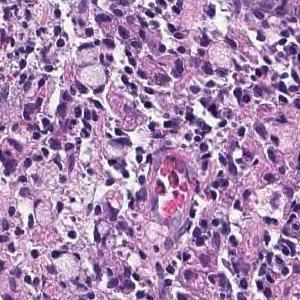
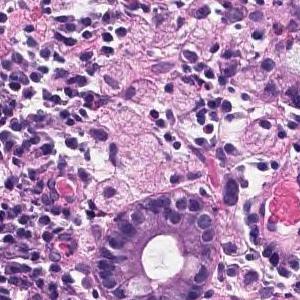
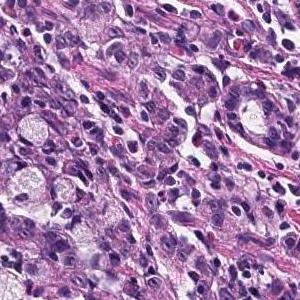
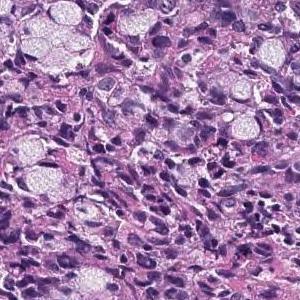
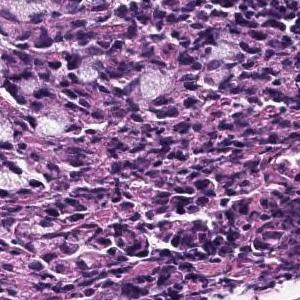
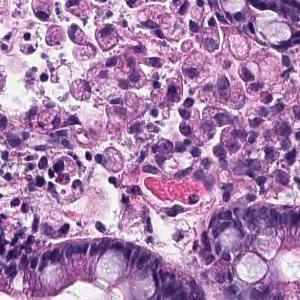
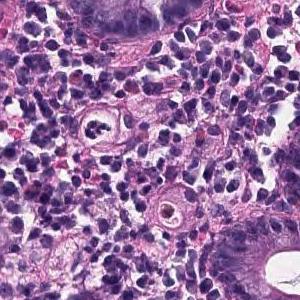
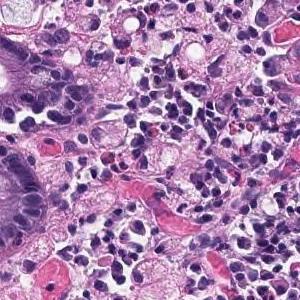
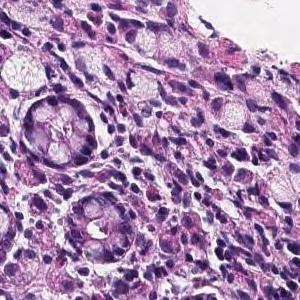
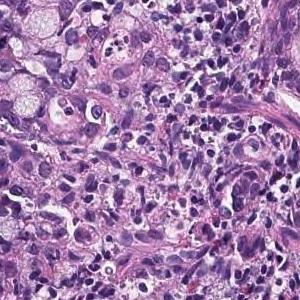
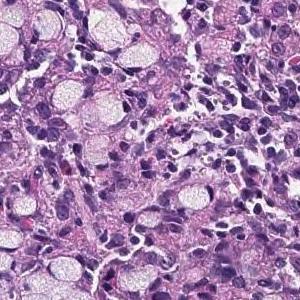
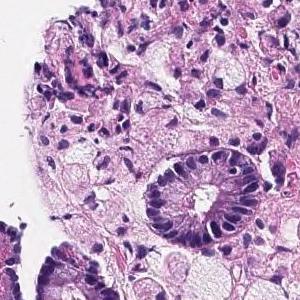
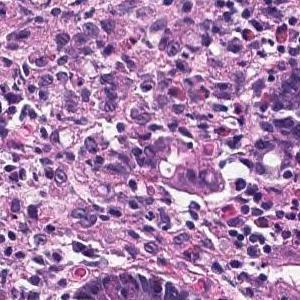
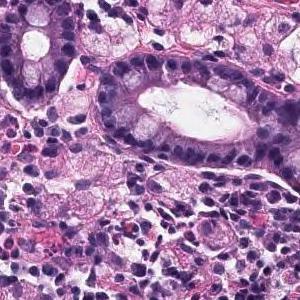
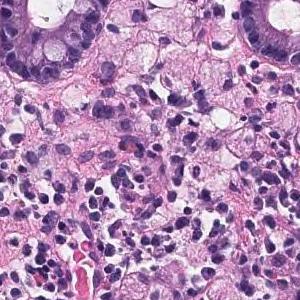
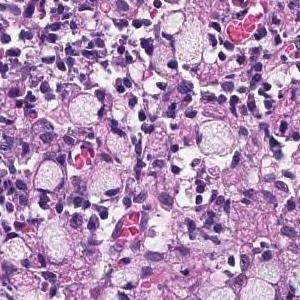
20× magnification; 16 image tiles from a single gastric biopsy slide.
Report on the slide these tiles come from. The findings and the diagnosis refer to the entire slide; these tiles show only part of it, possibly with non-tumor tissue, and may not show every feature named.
A tumor tissue consisting of signet ring cell carcinoma cells is observed in the lamina propria. Signet ring cell carcinoma.
